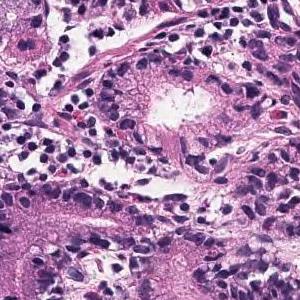
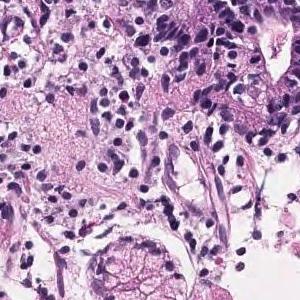
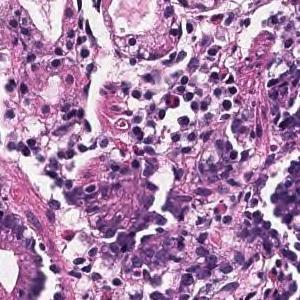
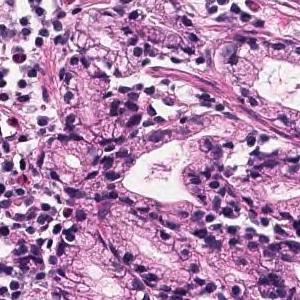
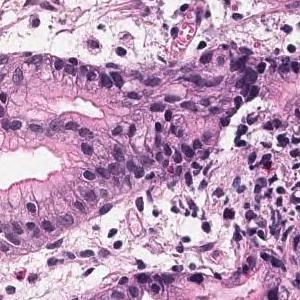
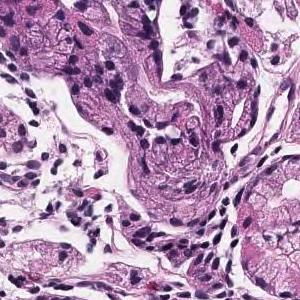
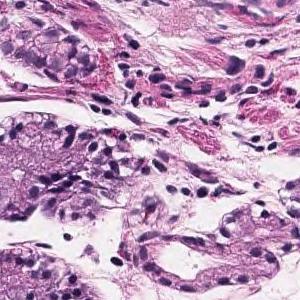
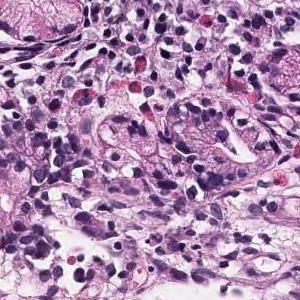
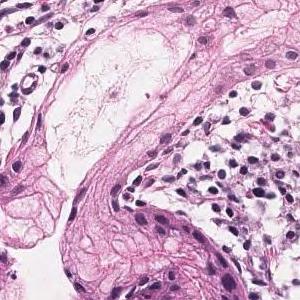
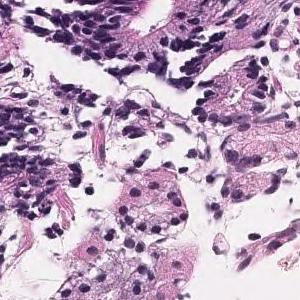
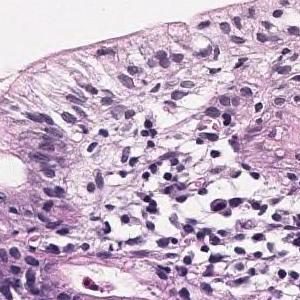
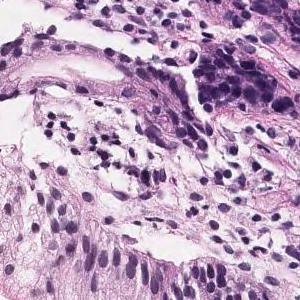
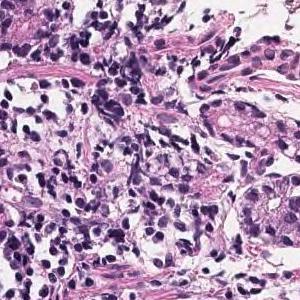
13 patches cut from one gastric biopsy slide; ×20; H&E.
Pathology report for the slide these tiles were cut from. The report describes the whole slide, diagnosis included: not every finding it names need appear in these tiles, which may also show non-tumor tissue.
Tumor tissue that grows and grows is observed, showing a medium-sized round or irregular duct. moderately differentiated tubular adenocarcinoma
